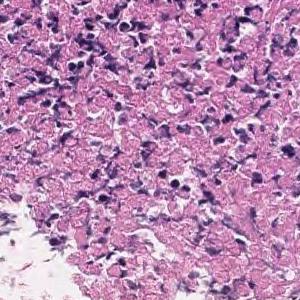
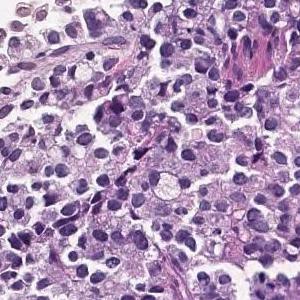
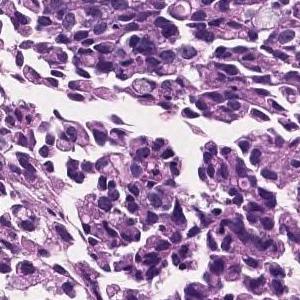
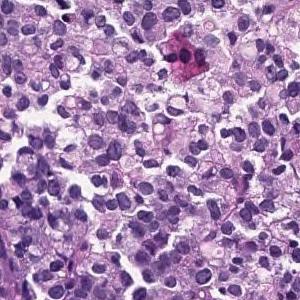
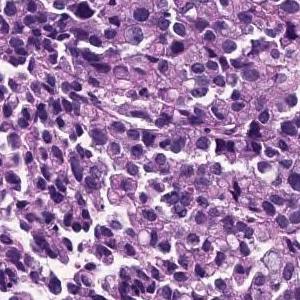
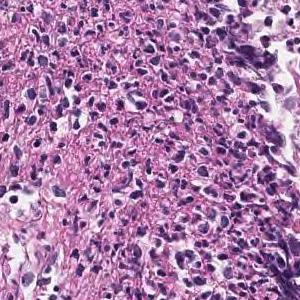
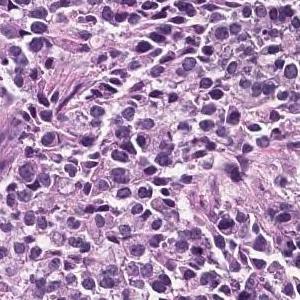
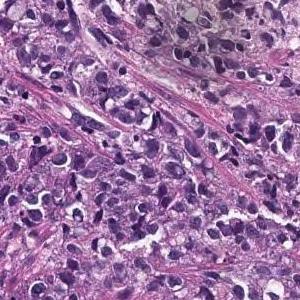
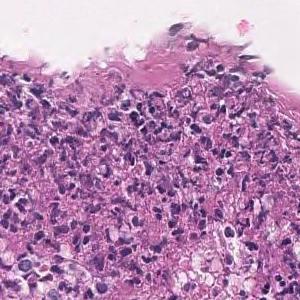
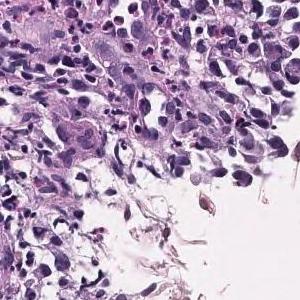
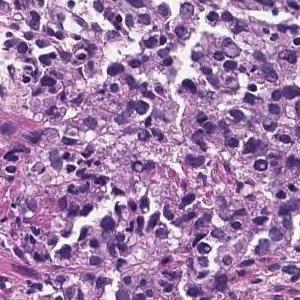
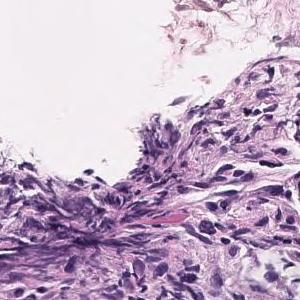
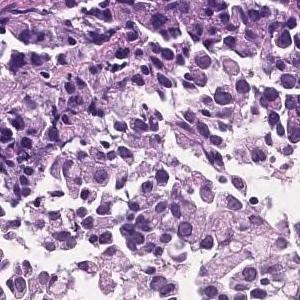
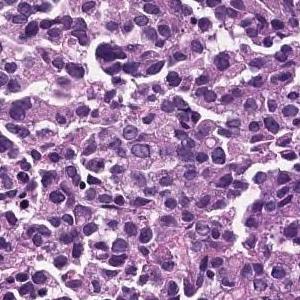
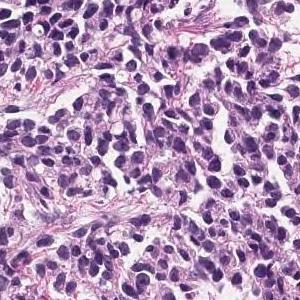
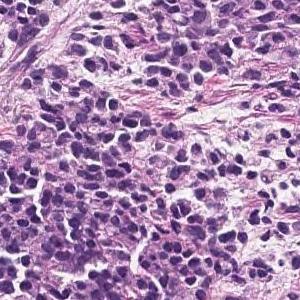
16 image tiles from a single gastric biopsy slide, scanned at ×20.
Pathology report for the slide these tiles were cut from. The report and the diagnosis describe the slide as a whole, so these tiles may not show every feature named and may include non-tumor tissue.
The superficial epithelium shows a large sheet-like shape, and some tumor tissue infiltrates with small irregular ducts. Poorly differentiated adenocarcinoma, solid-type
Subtype: Poorly differentiated adenocarcinoma, solid type. This name comes from the Japanese Classification of Gastric Carcinoma; the WHO 2019 classification calls it tubular adenocarcinoma, poorly differentiated.
